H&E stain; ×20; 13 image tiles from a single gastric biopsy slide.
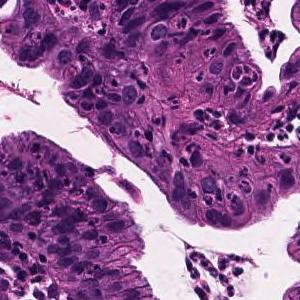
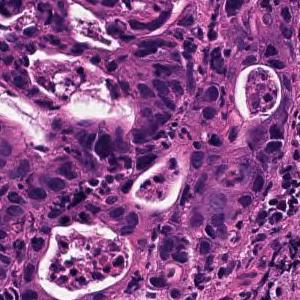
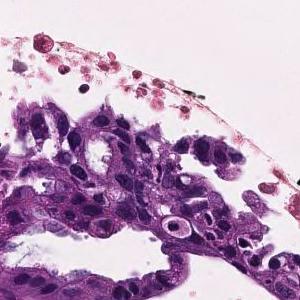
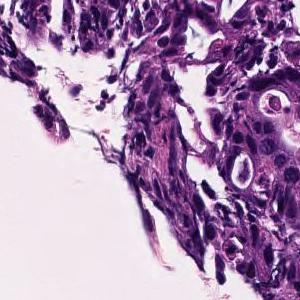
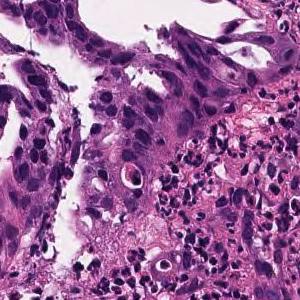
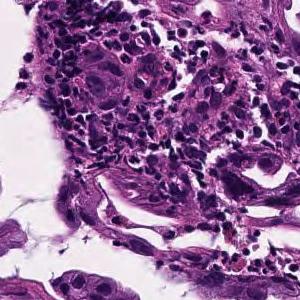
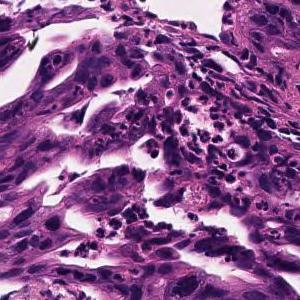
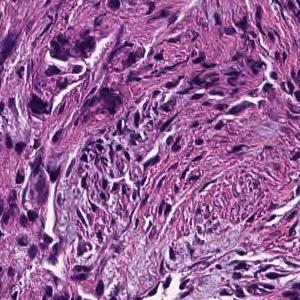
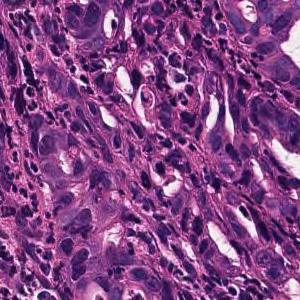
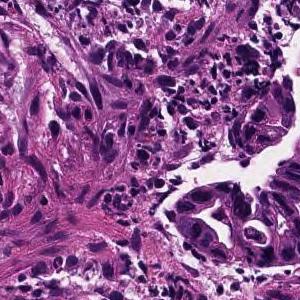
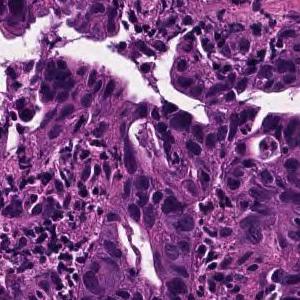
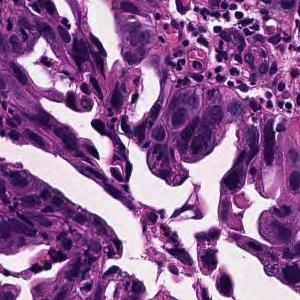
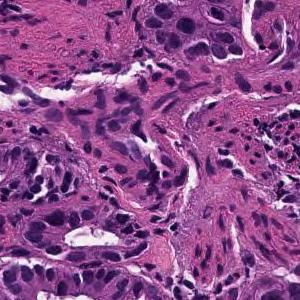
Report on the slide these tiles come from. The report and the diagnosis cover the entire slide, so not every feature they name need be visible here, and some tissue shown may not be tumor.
In the superficial epithelium, medium-sized to small irregular glandular ducts are formed, and in some cases, the glandular ducts are fused or small cord-like infiltrating tumor tissue is observed. moderately differentiated tubular adenocarcinoma
